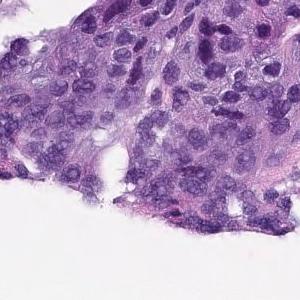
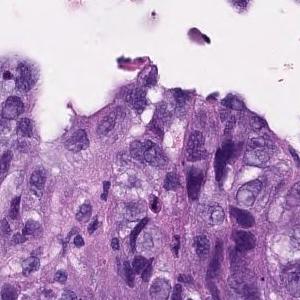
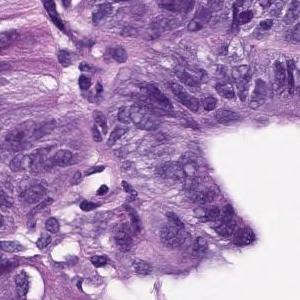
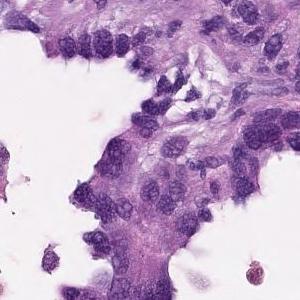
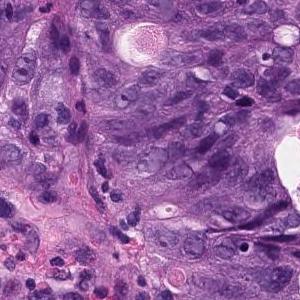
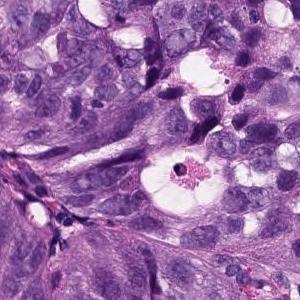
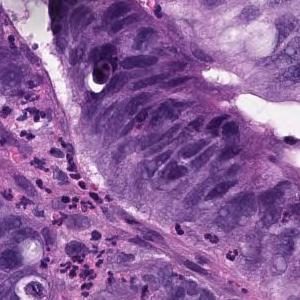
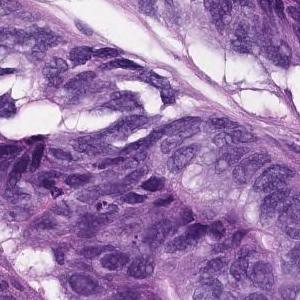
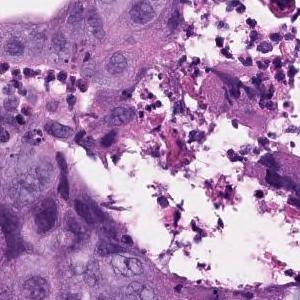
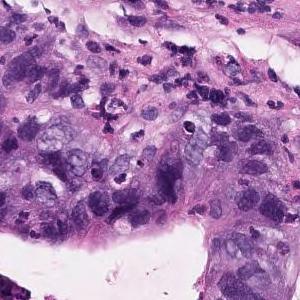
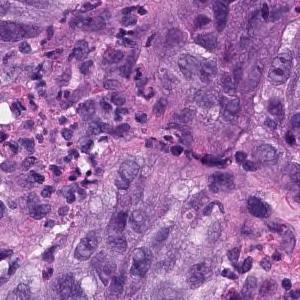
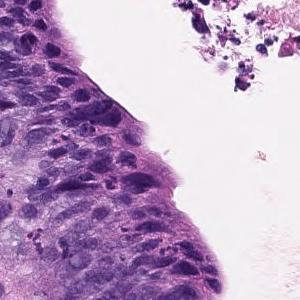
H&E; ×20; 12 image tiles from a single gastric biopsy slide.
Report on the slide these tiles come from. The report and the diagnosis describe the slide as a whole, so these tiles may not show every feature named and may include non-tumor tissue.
In the superficial epithelium, tumor tissue that invades by forming medium-sized to small, irregular ducts is observed. Moderately differentiated adenocarcinoma.
Histological subtype: Moderately differentiated tubular adenocarcinoma.
